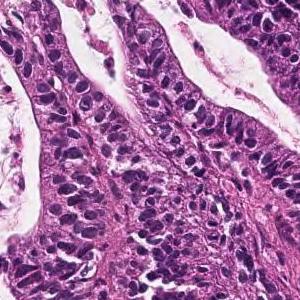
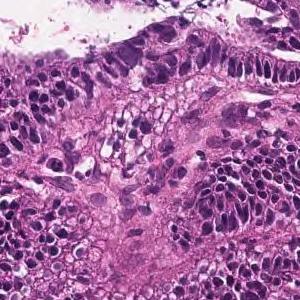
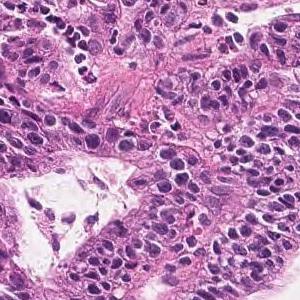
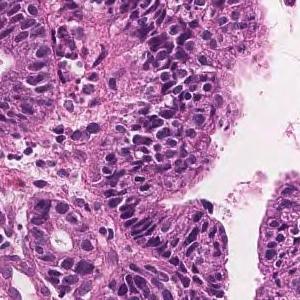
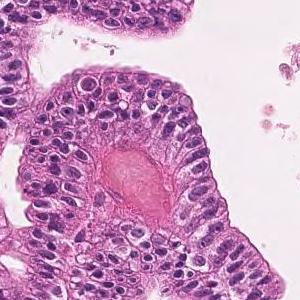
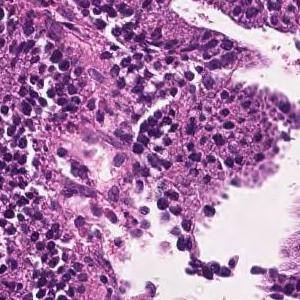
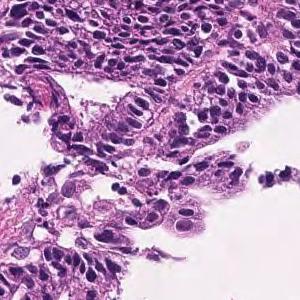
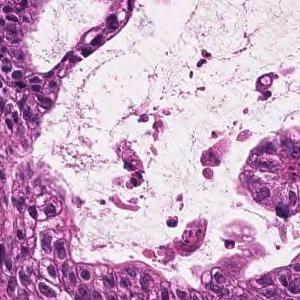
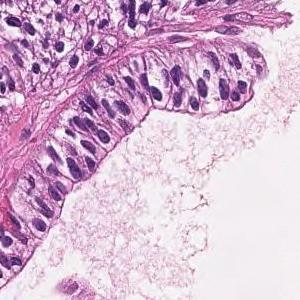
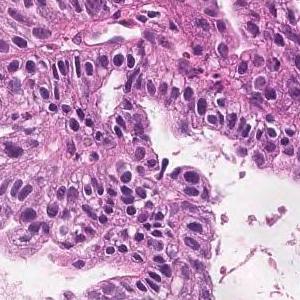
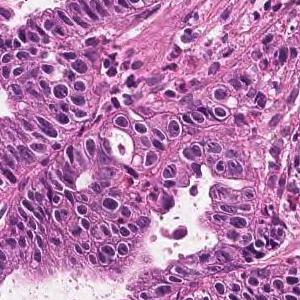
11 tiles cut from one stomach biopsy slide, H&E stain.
The pathologist's report on the biopsy slide these tiles were taken from. The findings and the diagnosis refer to the entire slide; these tiles show only part of it, possibly with non-tumor tissue, and may not show every feature named.
Tumor cells are large, highly columnar, large club-shaped nuclei, and are associated with chromatin aggregation. Papillary adenocarcinoma.
